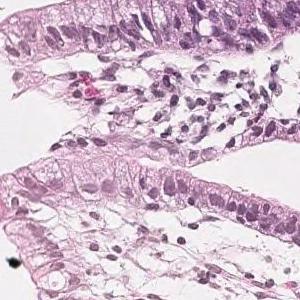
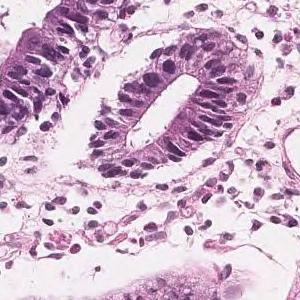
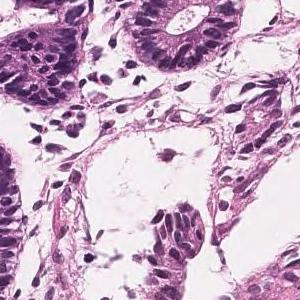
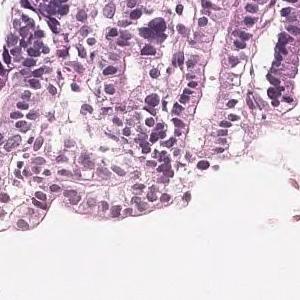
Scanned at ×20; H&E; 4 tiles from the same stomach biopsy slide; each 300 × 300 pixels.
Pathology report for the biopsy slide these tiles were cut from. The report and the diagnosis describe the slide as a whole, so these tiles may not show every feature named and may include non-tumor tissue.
Most of the tumor remains in the epithelium and shows a medium-sized circular system or irregular ducts, showing proliferating and developing tumor tissue. Well differentiated tubular adenocarcinoma
